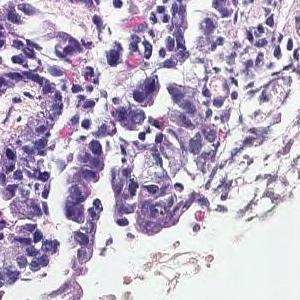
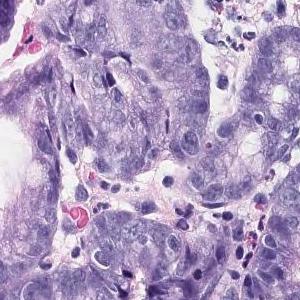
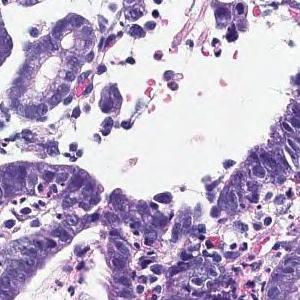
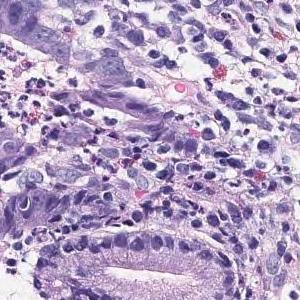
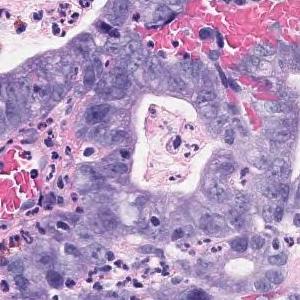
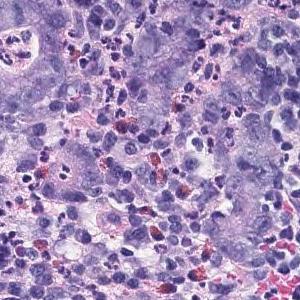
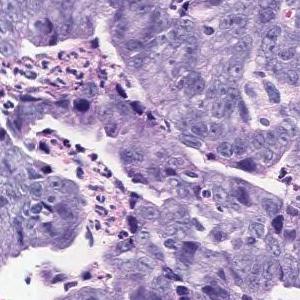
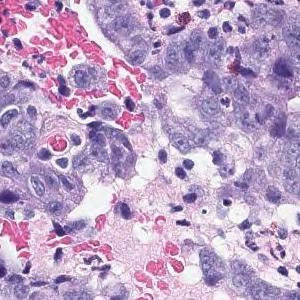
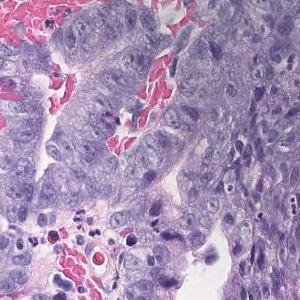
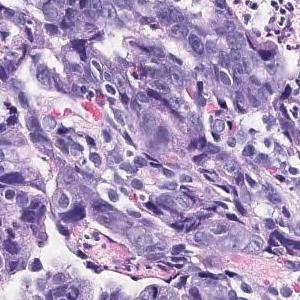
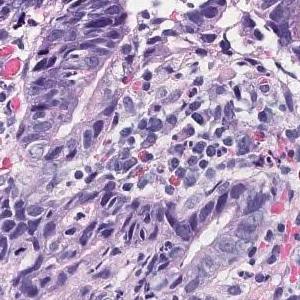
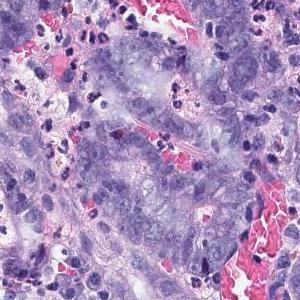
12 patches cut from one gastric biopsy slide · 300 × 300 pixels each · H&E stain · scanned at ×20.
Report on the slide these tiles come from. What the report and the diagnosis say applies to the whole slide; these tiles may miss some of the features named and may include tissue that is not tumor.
In the superficial epithelium, tumor tissue that invades by forming medium-sized to small, irregular ducts is observed. Moderately differentiated adenocarcinoma.
Histological subtype: Moderately differentiated tubular adenocarcinoma.
